5 patches cut from one gastric biopsy slide; ×20.
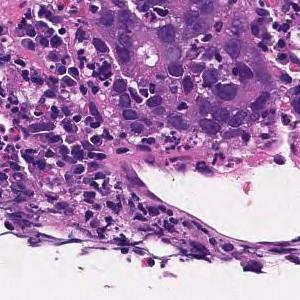
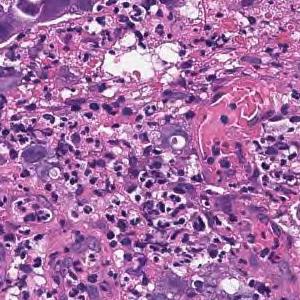
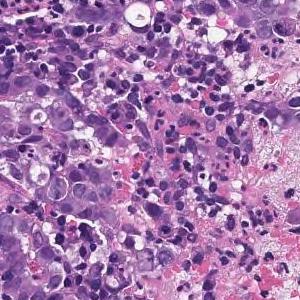
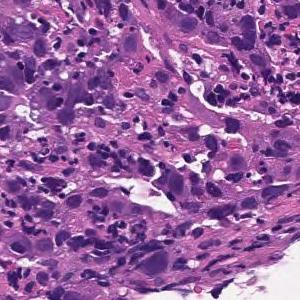
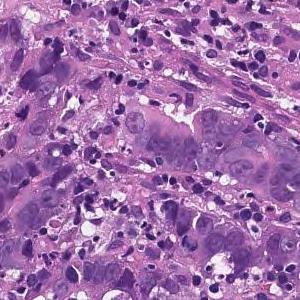
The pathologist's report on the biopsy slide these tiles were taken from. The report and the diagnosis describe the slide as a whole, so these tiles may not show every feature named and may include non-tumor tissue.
Tumor tissue consisting of cord-like or small, irregular glandular ducts fused and infiltrated is observed in the superficial epithelium. Poorly differentiated adenocarcinoma, non-solid type
The non-solid type named here is a Japanese Classification of Gastric Carcinoma category.
